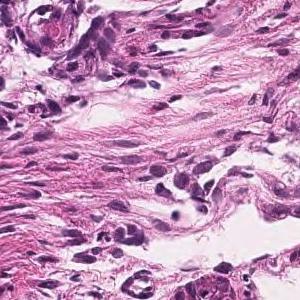
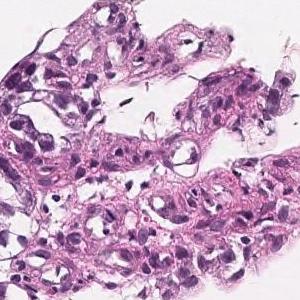
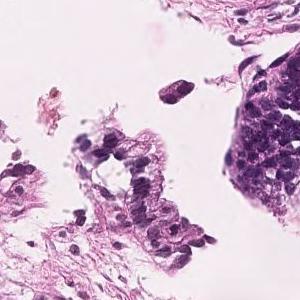
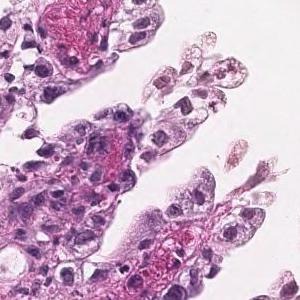
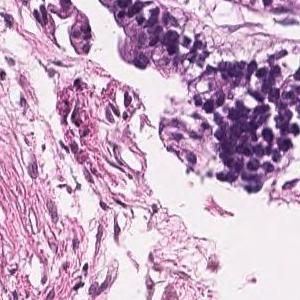
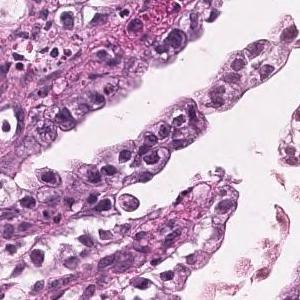
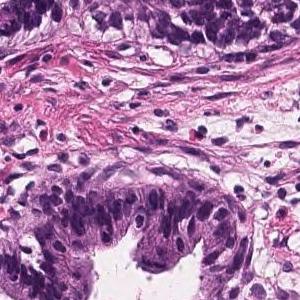
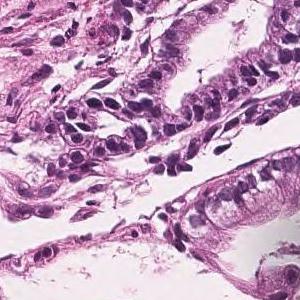
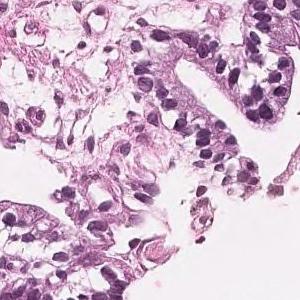
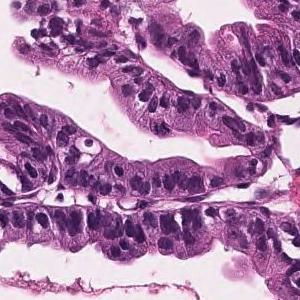
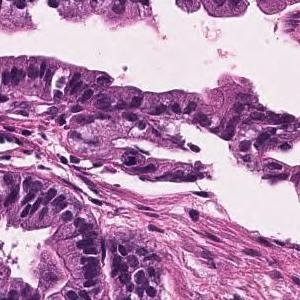
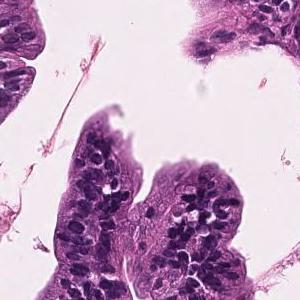
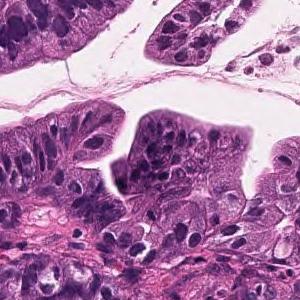
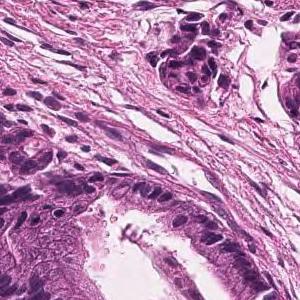
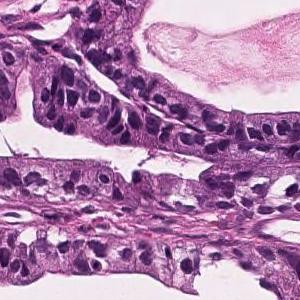
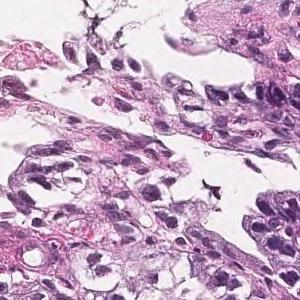
16 tiles cut from one stomach biopsy slide; each 300 × 300 pixels; H&E; scanned at ×20.
Pathology report for the slide these tiles were cut from. Both the report and the diagnosis are for the whole slide: these tiles need not show every feature named, and some of the tissue shown may not be tumor.
Tumor cells are large, highly columnar, large club-shaped nuclei, and are associated with chromatin aggregation. Papillary adenocarcinoma.
